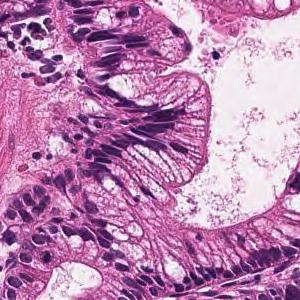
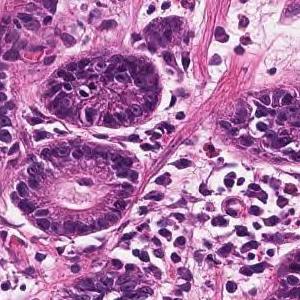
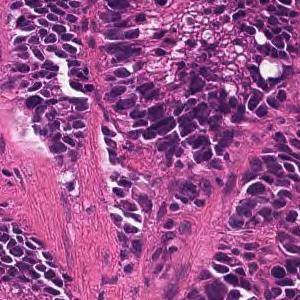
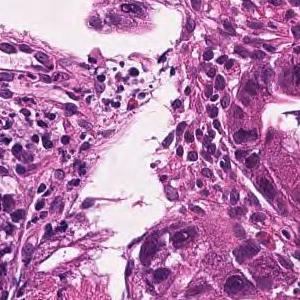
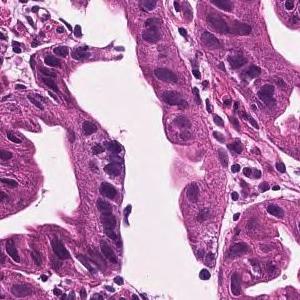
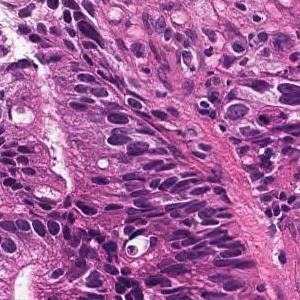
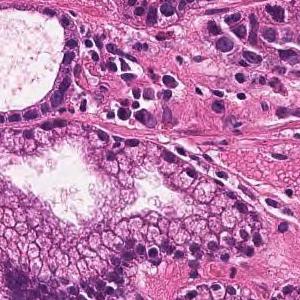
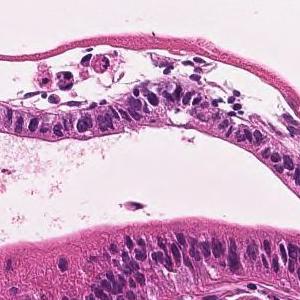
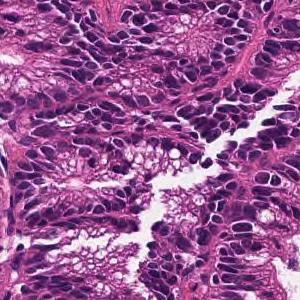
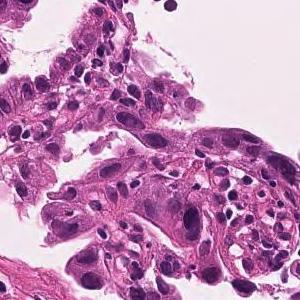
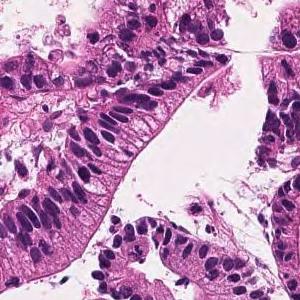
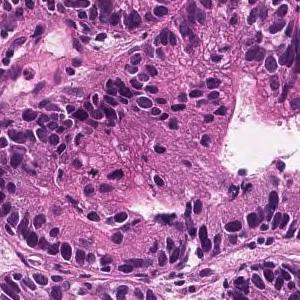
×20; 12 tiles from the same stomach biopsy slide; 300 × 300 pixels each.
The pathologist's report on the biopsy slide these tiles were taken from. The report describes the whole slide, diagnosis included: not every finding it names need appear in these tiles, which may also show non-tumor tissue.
In the superficial epithelium, tumor tissue that invades by forming medium-sized to small, irregular ducts is observed. moderately differentiated tubular adenocarcinoma.
